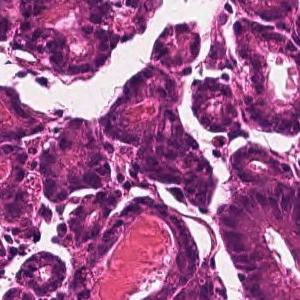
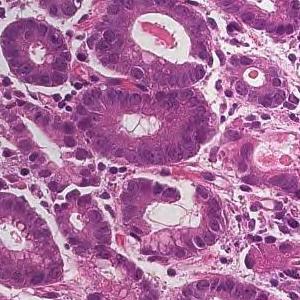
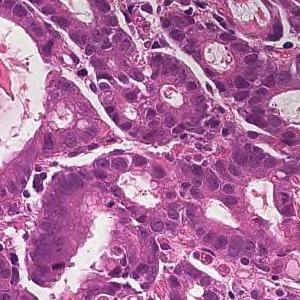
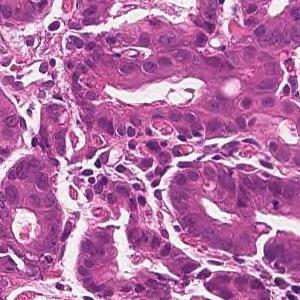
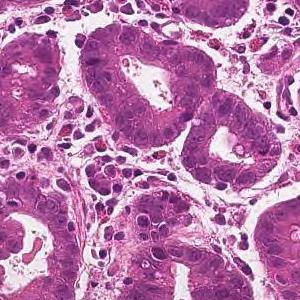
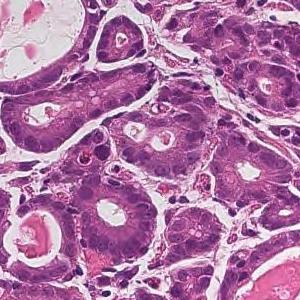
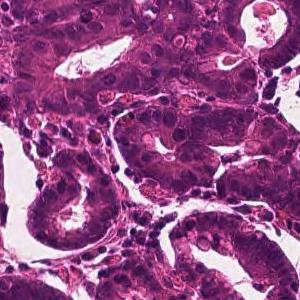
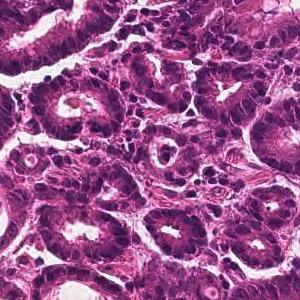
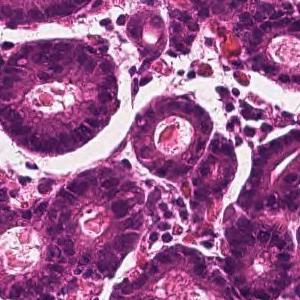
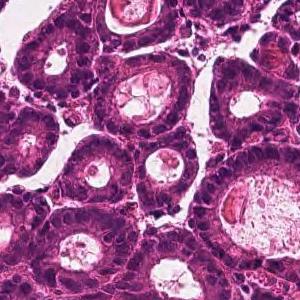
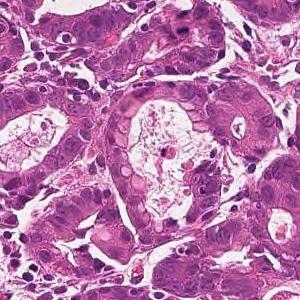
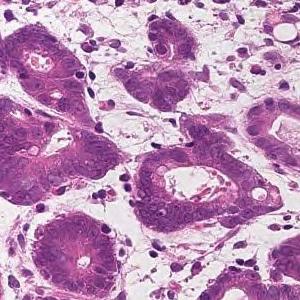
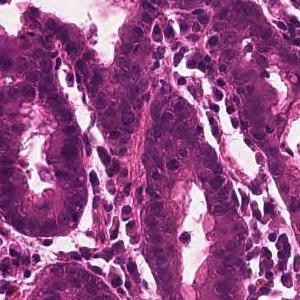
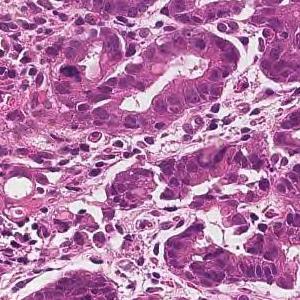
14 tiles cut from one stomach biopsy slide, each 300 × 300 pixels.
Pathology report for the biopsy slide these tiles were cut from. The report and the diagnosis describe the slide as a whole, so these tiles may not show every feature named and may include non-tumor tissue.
From the superficial epithelium to the muscularis mucosae, tumor tissue consisting of medium-sized and irregular glandular ducts infiltrating is observed. Well differentiated tubular adenocarcinoma
